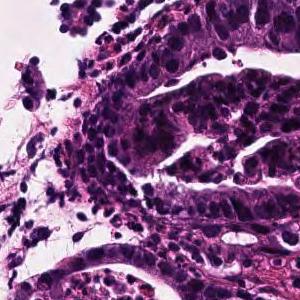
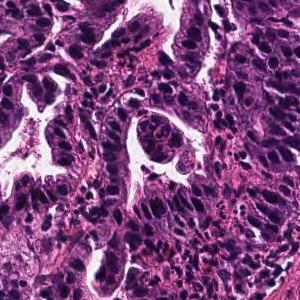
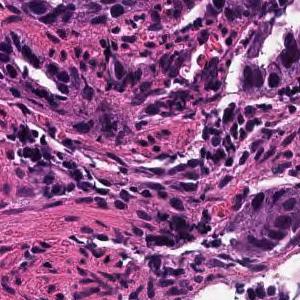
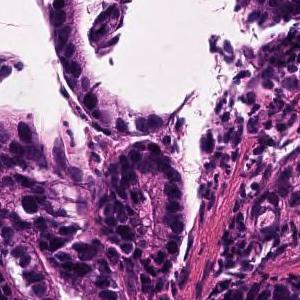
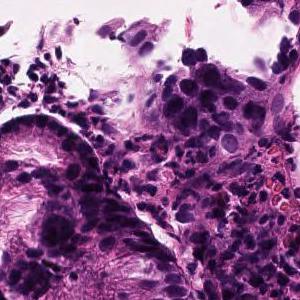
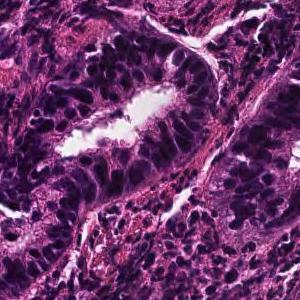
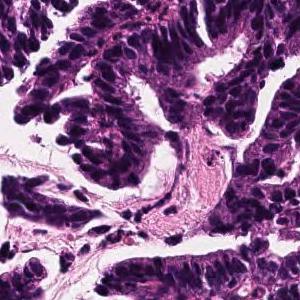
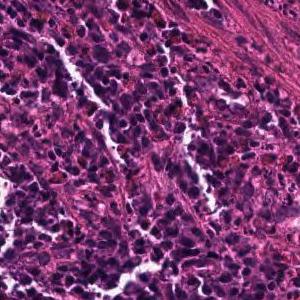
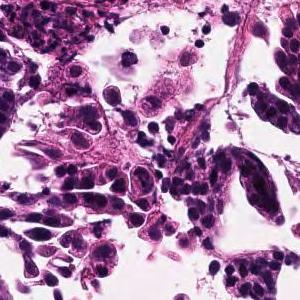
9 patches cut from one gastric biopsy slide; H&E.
Pathology report for the slide these tiles were cut from. The report and the diagnosis describe the slide as a whole, so these tiles may not show every feature named and may include non-tumor tissue.
Tumor tissue consisting of large papillary structures is found in the superficial epithelium. Papillary adenocarcinoma.
